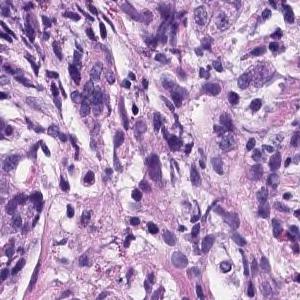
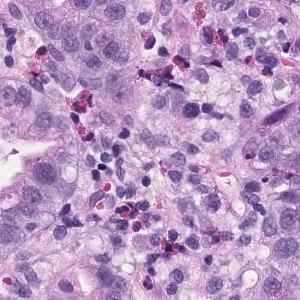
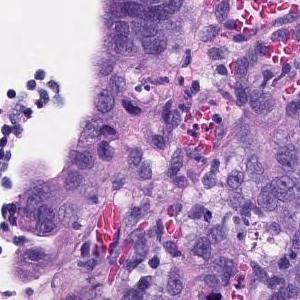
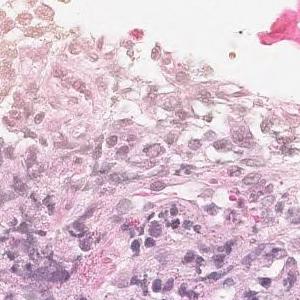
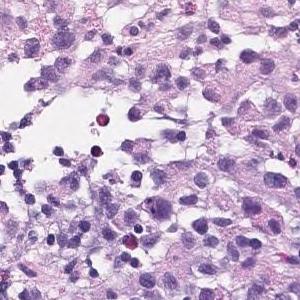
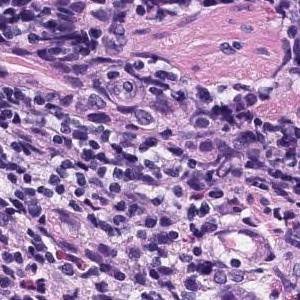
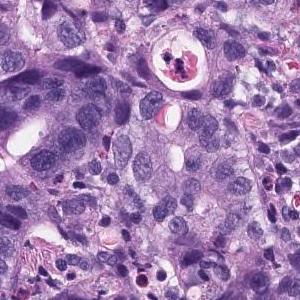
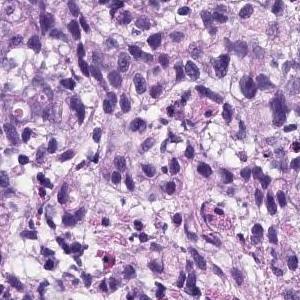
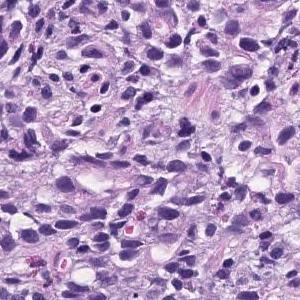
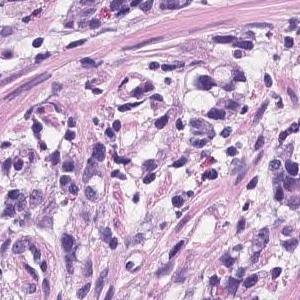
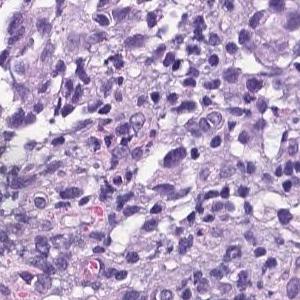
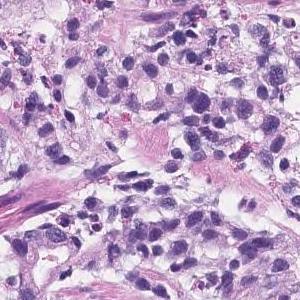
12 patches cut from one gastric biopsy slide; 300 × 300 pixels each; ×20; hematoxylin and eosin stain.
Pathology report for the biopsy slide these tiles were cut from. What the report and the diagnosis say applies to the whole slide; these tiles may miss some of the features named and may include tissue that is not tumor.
There are atypical l cells with atypical nuclei forming cord-like or irregular atypical ducts from solidity and proliferating in a comprehensive manner. Poorly differentiated adenocarcinoma, Moderately differentiated adenocarcinoma (poorly differentiated adenocarcinoma, solid type moderately differentiated tubular adenocarcinoma)
Subtype: Moderately to poorly differentiated adenocarcinoma.
The term "solid type" comes from the Japanese Classification of Gastric Carcinoma; the WHO 2019 equivalent is tubular adenocarcinoma, poorly differentiated.
